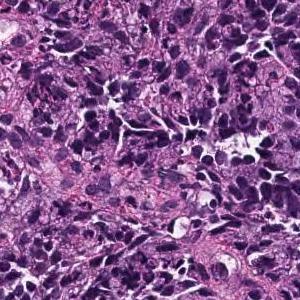
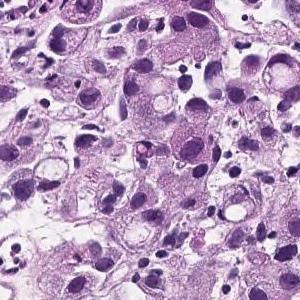
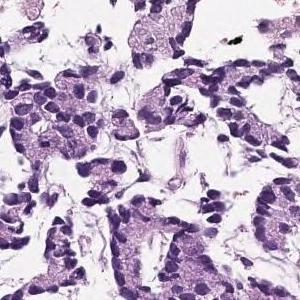
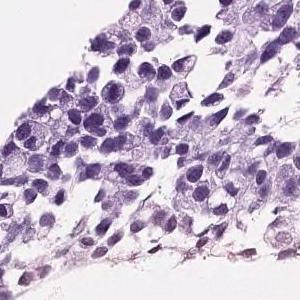
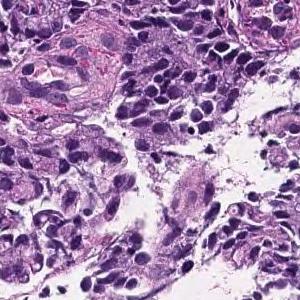
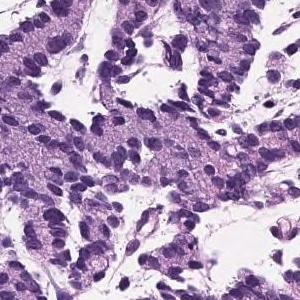
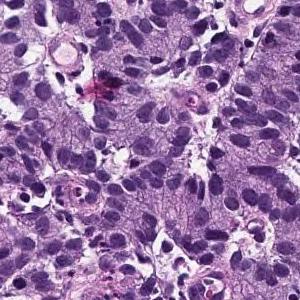
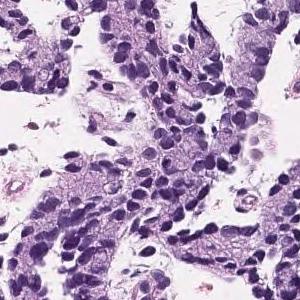
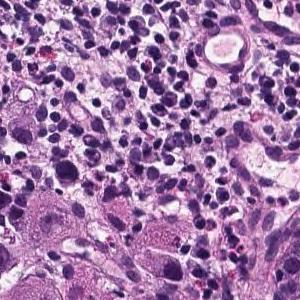
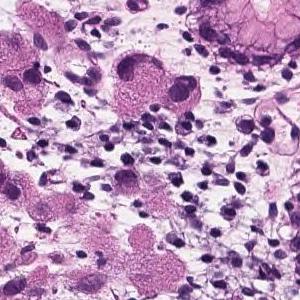
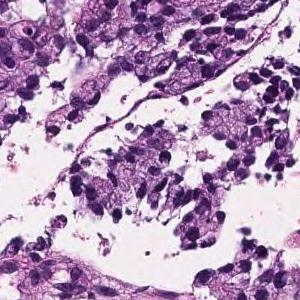
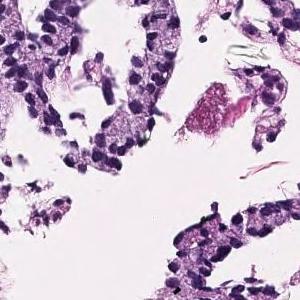
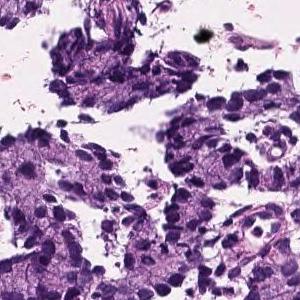
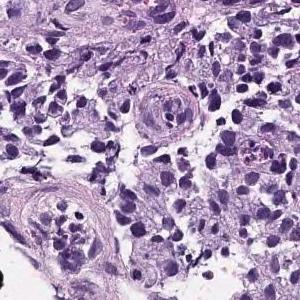
H&E, scanned at ×20, 14 patches cut from one gastric biopsy slide.
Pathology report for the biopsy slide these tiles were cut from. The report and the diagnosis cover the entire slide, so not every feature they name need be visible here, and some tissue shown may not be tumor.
Tumor tissue infiltrated by irregular fusion of small cord-like structures is found in the superficial epithelium. Poorly differentiated adenocarcinoma, non-solid type
The term "non-solid type" comes from the Japanese Classification of Gastric Carcinoma.
